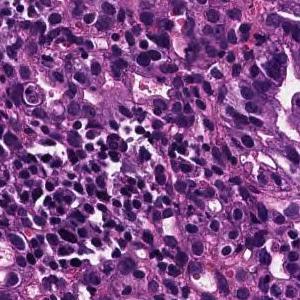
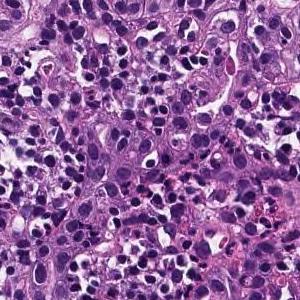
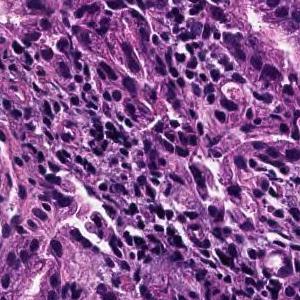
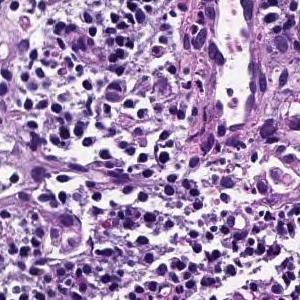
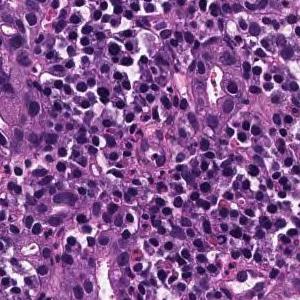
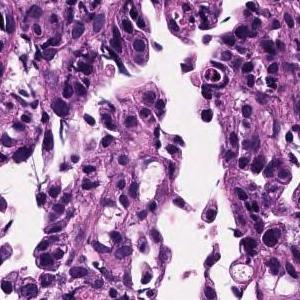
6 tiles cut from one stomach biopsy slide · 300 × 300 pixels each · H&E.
Pathology report for the slide these tiles were cut from. Both the report and the diagnosis are for the whole slide: these tiles need not show every feature named, and some of the tissue shown may not be tumor.
Medium to small, irregular glandular ducts are formed in the superficial epithelium, and in some cases, the glandular ducts are fused to show solid alveolar lesions and infiltrating tumor tissue is observed. Moderately to poorly differentiated adenocarcinoma.
